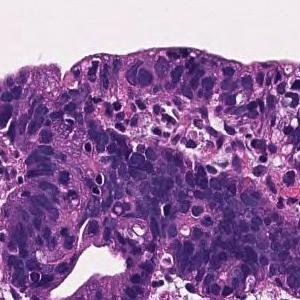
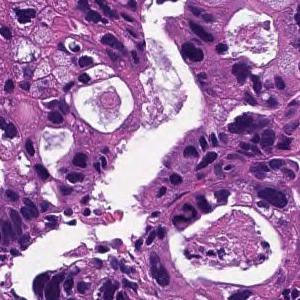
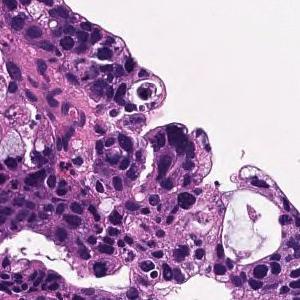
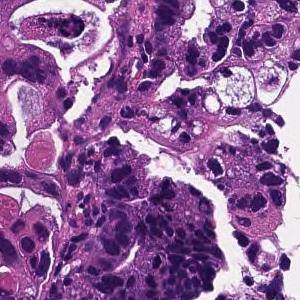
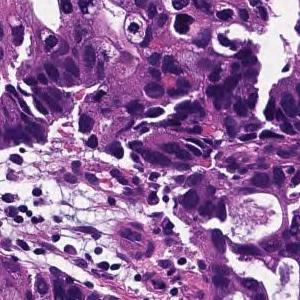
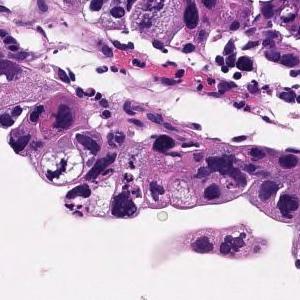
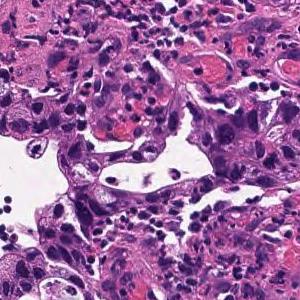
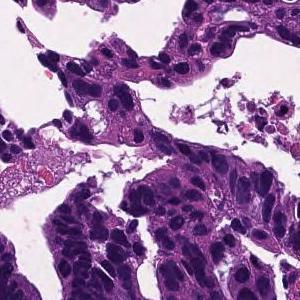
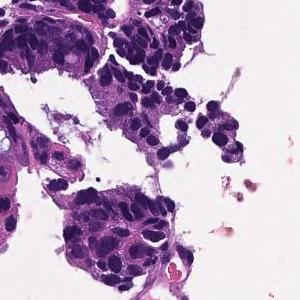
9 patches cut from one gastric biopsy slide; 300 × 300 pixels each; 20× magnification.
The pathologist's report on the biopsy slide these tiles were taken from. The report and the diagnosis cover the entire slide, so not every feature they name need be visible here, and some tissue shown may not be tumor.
In the superficial epithelium, tumor tissue that invades by forming medium-sized to small, irregular ducts is observed. moderately differentiated tubular adenocarcinoma.
